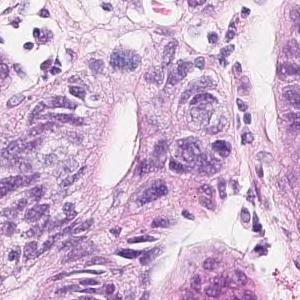
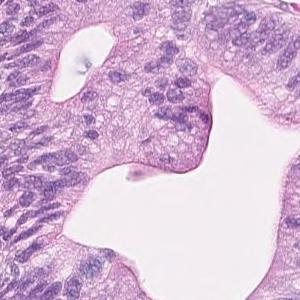
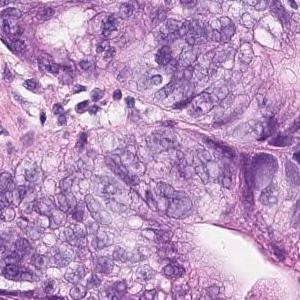
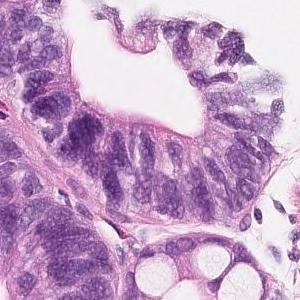
4 tiles cut from one stomach biopsy slide · 20× magnification · H&E stain.
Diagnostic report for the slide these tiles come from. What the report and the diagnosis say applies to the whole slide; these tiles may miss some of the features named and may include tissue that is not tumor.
With the background of intestinal metaplasia, hyperplasia of large atypical glandular ducts is observed, accompanied by macronucleus swelling, disorder of nuclear polarity, and fusion of glandular ducts. Well differentiated tubular adenocarcinoma
